6 tiles cut from one stomach biopsy slide.
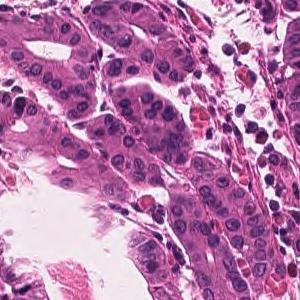
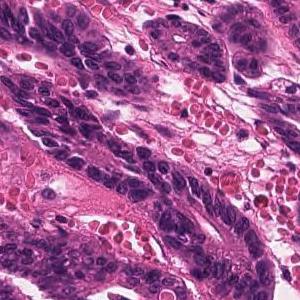
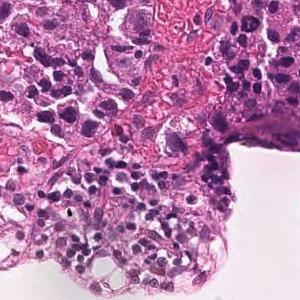
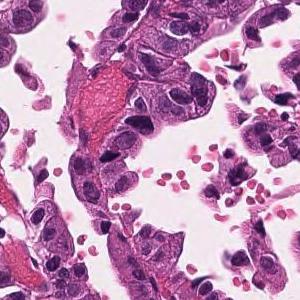
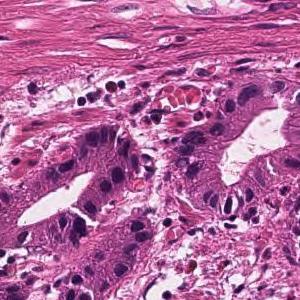
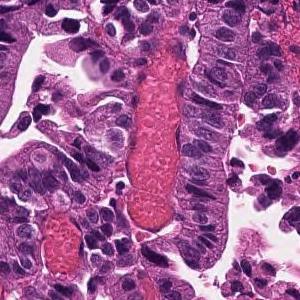
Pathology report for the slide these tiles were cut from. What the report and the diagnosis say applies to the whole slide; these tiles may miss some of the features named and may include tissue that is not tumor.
Infiltrating tumor tissue with medium-sized, irregular ductal structure or large papillary appearance is observed. Well differentiated tubular adenocarcinoma
